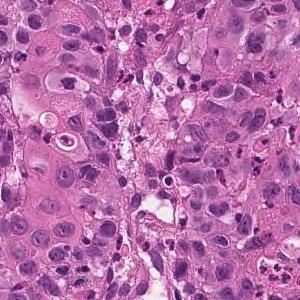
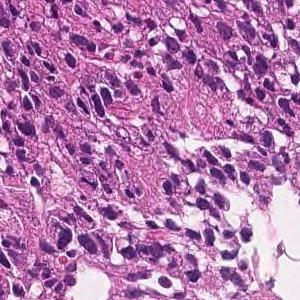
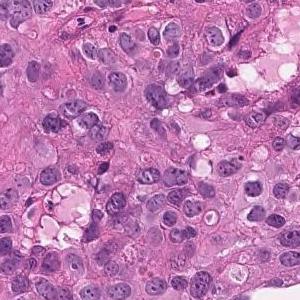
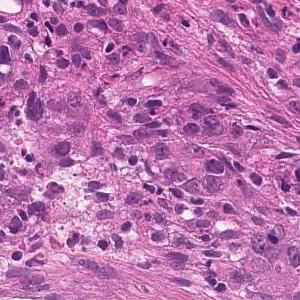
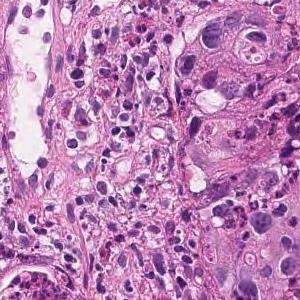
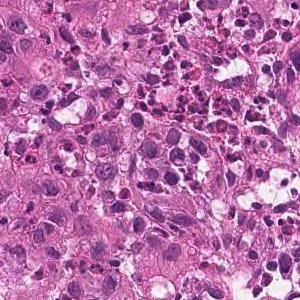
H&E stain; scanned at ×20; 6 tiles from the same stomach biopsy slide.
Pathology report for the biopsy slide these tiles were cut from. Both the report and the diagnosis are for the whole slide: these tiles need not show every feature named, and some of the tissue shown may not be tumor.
The superficial epithelium shows a large sheet-like shape, and some tumor tissue infiltrates with small irregular ducts. Poorly differentiated adenocarcinoma, solid-type
Histologic type: Poorly differentiated adenocarcinoma, solid type (Japanese Classification of Gastric Carcinoma). The WHO 2019 equivalent is tubular adenocarcinoma, poorly differentiated.
